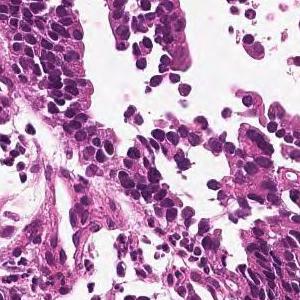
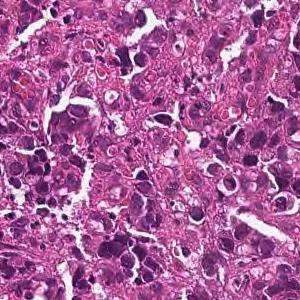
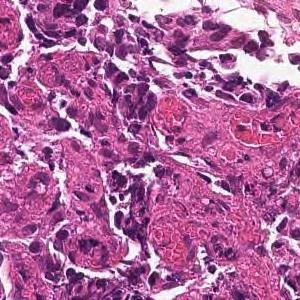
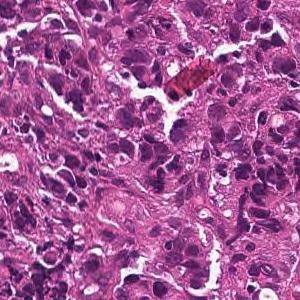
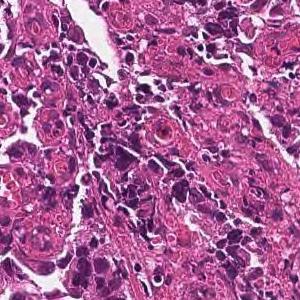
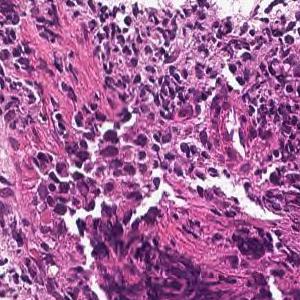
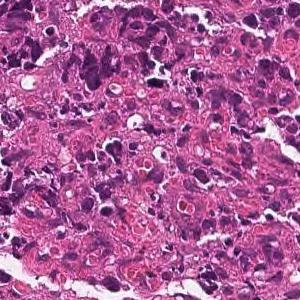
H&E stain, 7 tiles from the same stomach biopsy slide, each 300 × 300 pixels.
Pathology report for the biopsy slide these tiles were cut from. What the report and the diagnosis say applies to the whole slide; these tiles may miss some of the features named and may include tissue that is not tumor.
Tumor tissue consisting of medium-sized, cord-like or irregular glandular infiltration is observed in the superficial epithelium. Poorly differentiated adenocarcinoma, non-solid type or moderately differentiated tubular adenocarcinoma
Histologic type: Moderately to poorly differentiated adenocarcinoma.
"Non-solid type" is a category of the Japanese Classification of Gastric Carcinoma.
